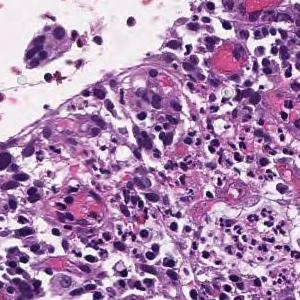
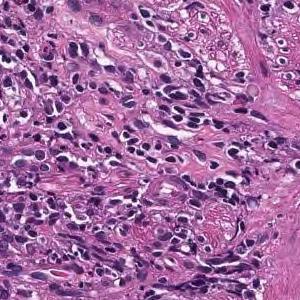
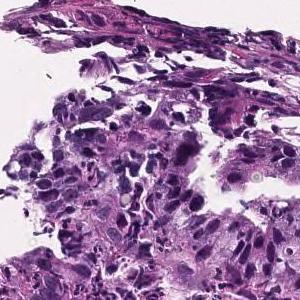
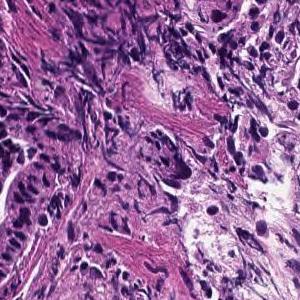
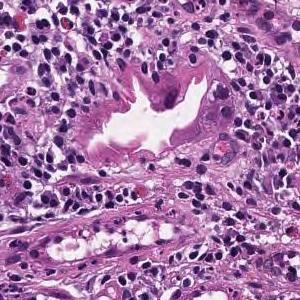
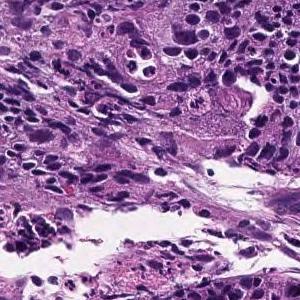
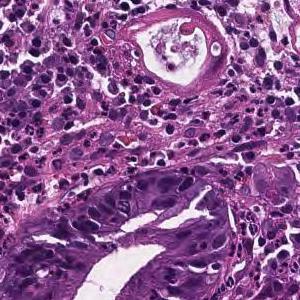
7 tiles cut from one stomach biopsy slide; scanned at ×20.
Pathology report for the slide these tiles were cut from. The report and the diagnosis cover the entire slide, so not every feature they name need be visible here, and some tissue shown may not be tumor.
On the superficial epithelium, tumor tissue consisting of large, irregular glandular ducts partially fused and infiltrated is observed. Well to moderately differentiated tubular adenocarcinoma (well differentiated tubular adenocarcinoma, moderately differentiated tubular adenocarcinoma)
Classified as well to moderately differentiated tubular adenocarcinoma.
